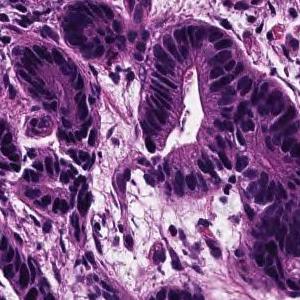
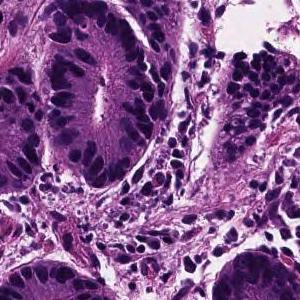
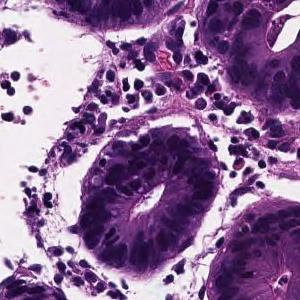
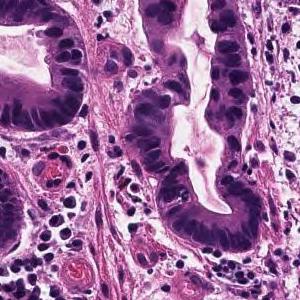
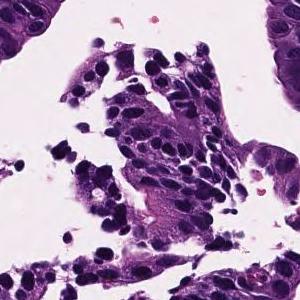
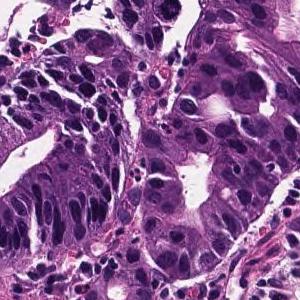
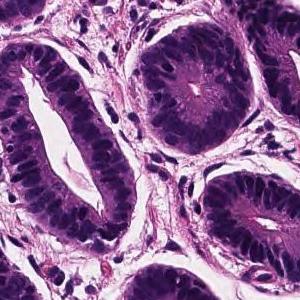
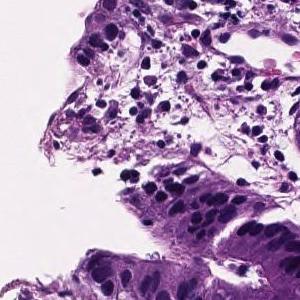
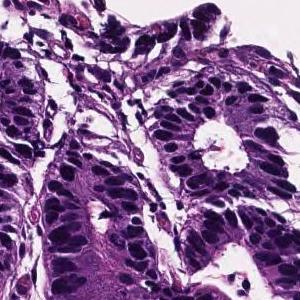
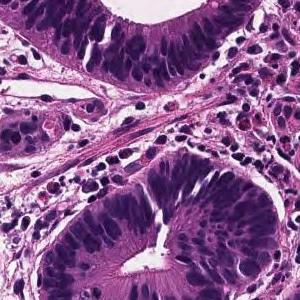
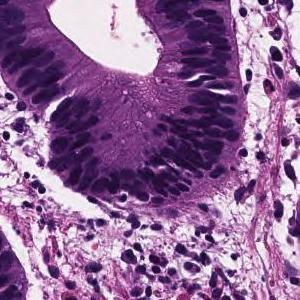
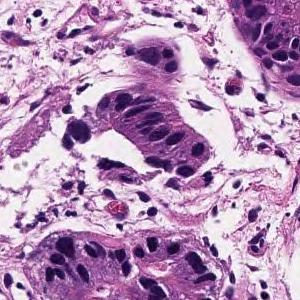
H&E stain, 20× magnification, 12 patches cut from one gastric biopsy slide.
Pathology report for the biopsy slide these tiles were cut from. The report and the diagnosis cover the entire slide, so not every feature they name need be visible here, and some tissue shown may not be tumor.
From the superficial epithelium to the muscularis mucosae, tumor tissue consisting of medium-sized and irregular glandular ducts infiltrating is observed. Well differentiated tubular adenocarcinoma
